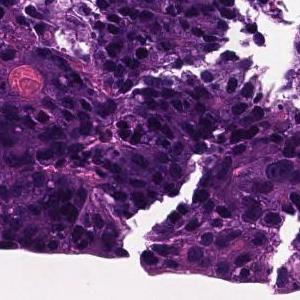
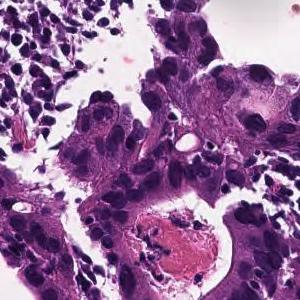
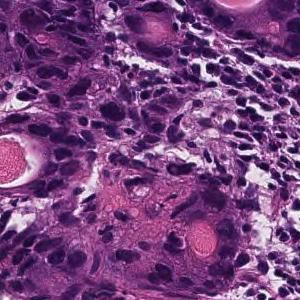
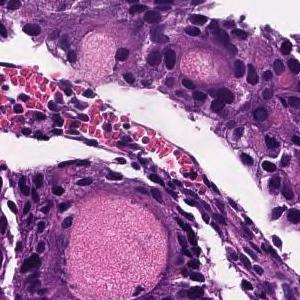
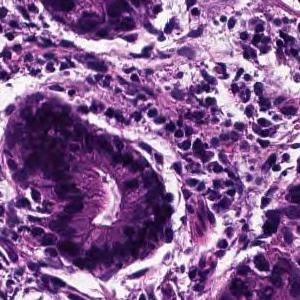
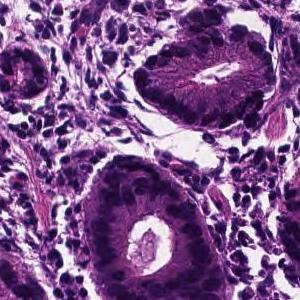
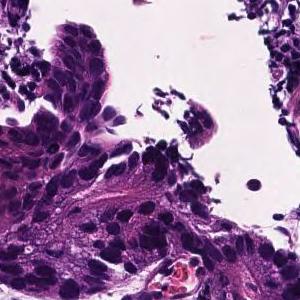
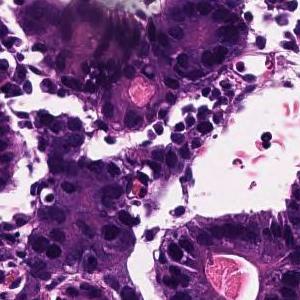
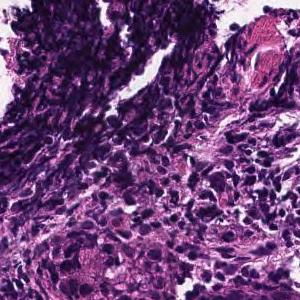
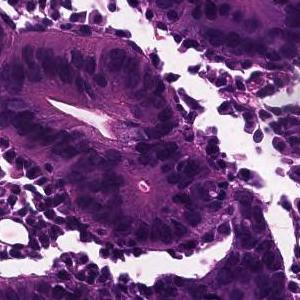
10 image tiles from a single gastric biopsy slide, 300×300 px each, 20× magnification, H&E.
Diagnostic report for the slide these tiles come from. What the report and the diagnosis say applies to the whole slide; these tiles may miss some of the features named and may include tissue that is not tumor.
From the superficial epithelium to the muscularis mucosae, tumor tissue infiltrating by forming medium-sized irregular gland ducts is observed. Large tumor cells exhibit large nucleus and hyperchromatism. Well differentiated tubular adenocarcinoma
